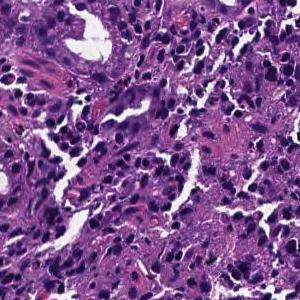
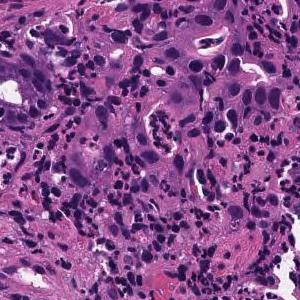
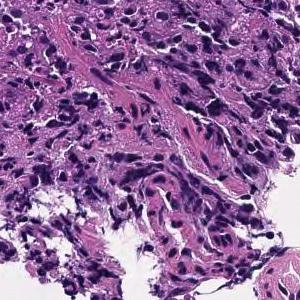
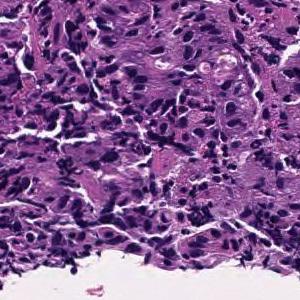
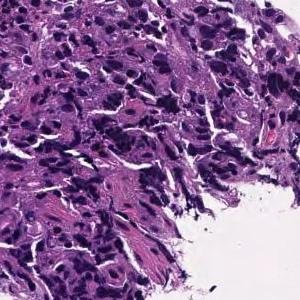
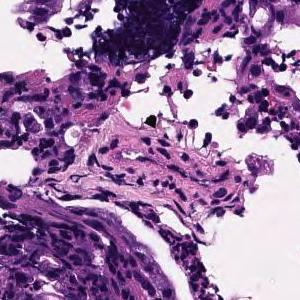
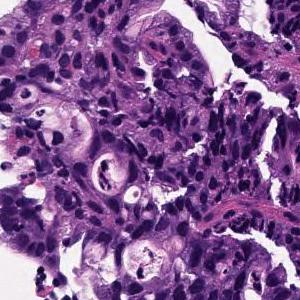
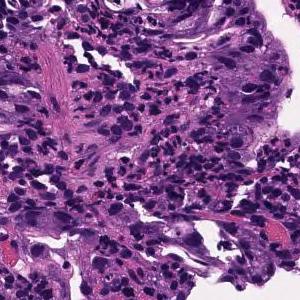
Scanned at ×20 · hematoxylin and eosin stain · 8 patches cut from one gastric biopsy slide.
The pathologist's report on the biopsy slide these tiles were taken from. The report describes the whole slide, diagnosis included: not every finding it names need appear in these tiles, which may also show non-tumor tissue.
Medium to small, irregular glandular ducts are formed in the superficial epithelium, and in some cases, the glandular ducts are fused to show solid alveolar lesions and infiltrating tumor tissue is observed. Moderately to poorly differentiated adenocarcinoma.
